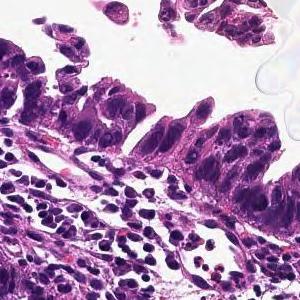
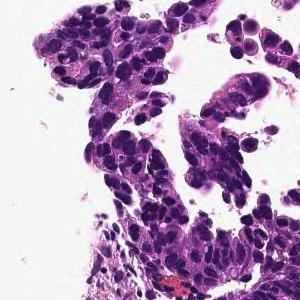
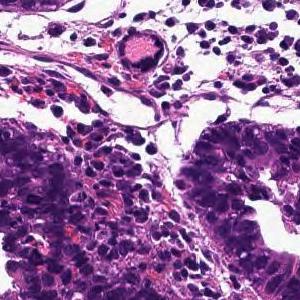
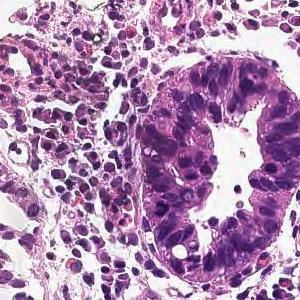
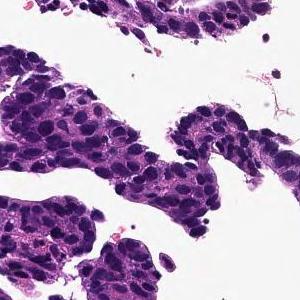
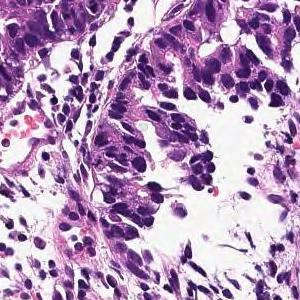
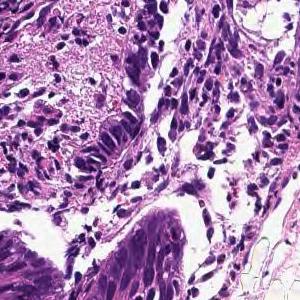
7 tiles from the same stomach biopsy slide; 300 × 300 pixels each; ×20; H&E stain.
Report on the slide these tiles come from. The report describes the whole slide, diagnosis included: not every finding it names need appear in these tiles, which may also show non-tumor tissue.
In the superficial epithelium, tumor tissue that invades by forming medium-sized to small, irregular ducts is observed. moderately differentiated tubular adenocarcinoma.
